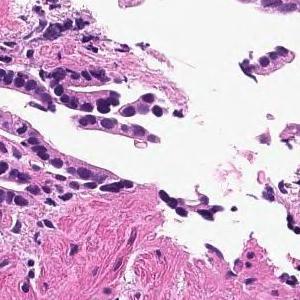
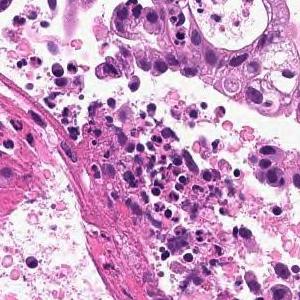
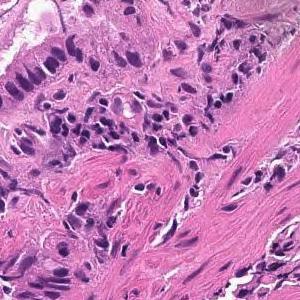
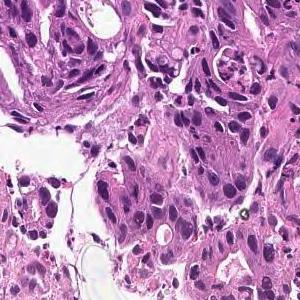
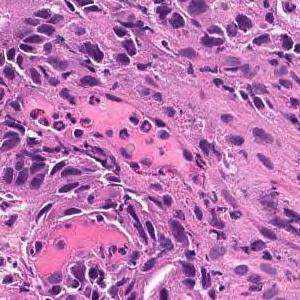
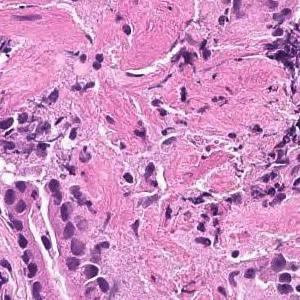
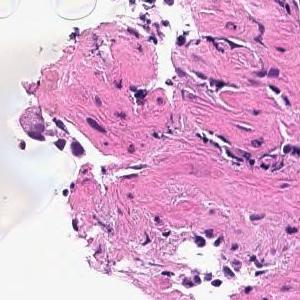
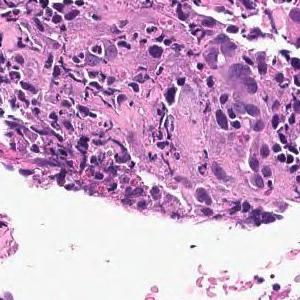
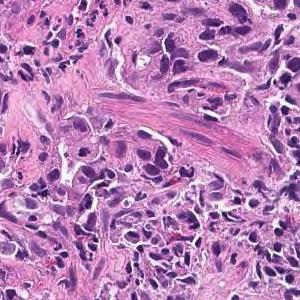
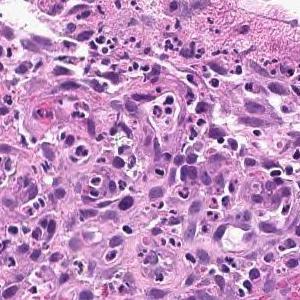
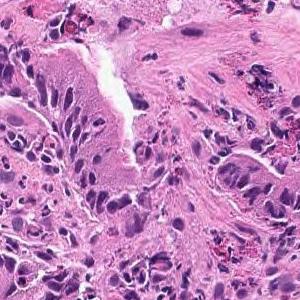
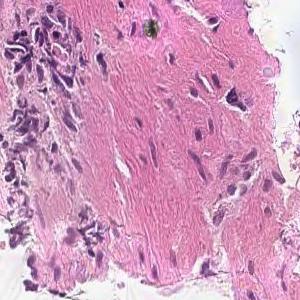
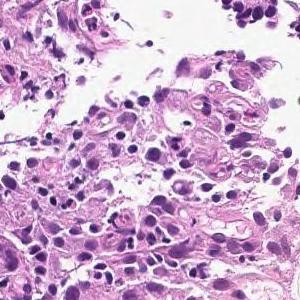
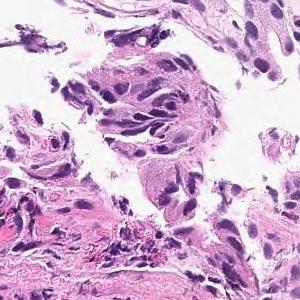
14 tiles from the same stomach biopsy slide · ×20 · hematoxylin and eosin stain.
Pathology report for the slide these tiles were cut from. The report and the diagnosis describe the slide as a whole, so these tiles may not show every feature named and may include non-tumor tissue.
On the superficial epithelium, tumor tissue consisting of large irregular glandular ducts partially fused and infiltrated is observed. Well to moderately differentiated tubular adenocarcinoma (well differentiated tubular adenocarcinoma, moderately differentiated tubular adenocarcinoma)
Histologic type: Well to moderately differentiated tubular adenocarcinoma.
